Scanned at ×20, 14 tiles from the same stomach biopsy slide, each 300 × 300 pixels.
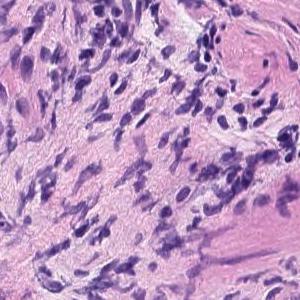
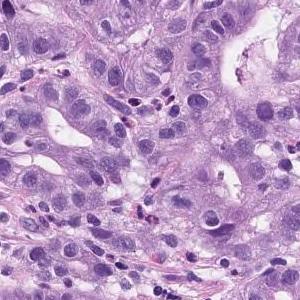
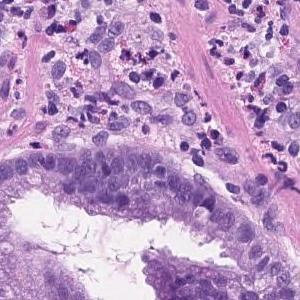
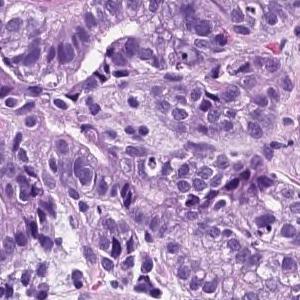
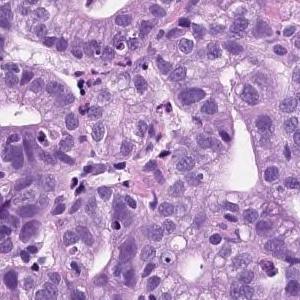
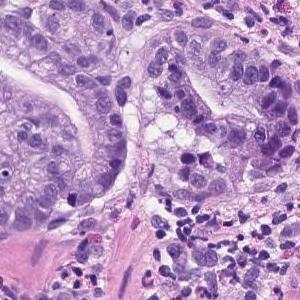
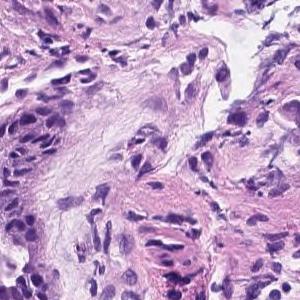
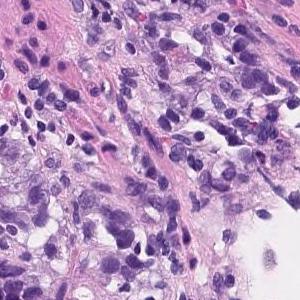
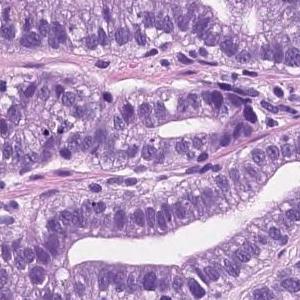
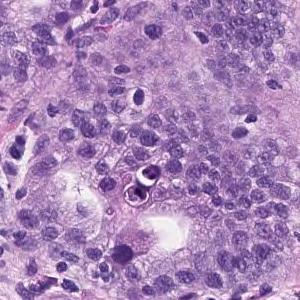
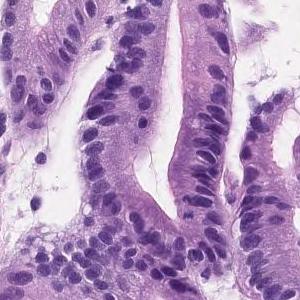
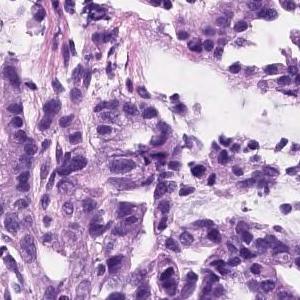
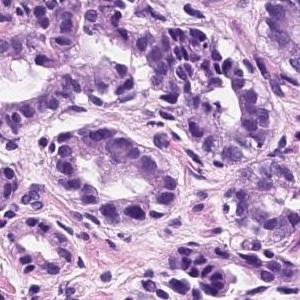
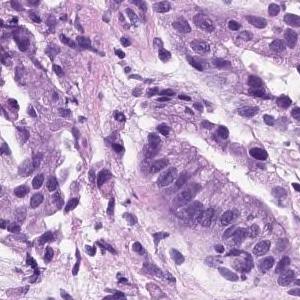
Report on the slide these tiles come from. What the report and the diagnosis say applies to the whole slide; these tiles may miss some of the features named and may include tissue that is not tumor.
Tumor tissue consisting of medium-sized and irregular ducts is observed infiltrating in the superficial epithelium. Tumor cells are highly columnar, with nuclei aligned basolaterally and polarized. Well differentiated tubular adenocarcinoma.
